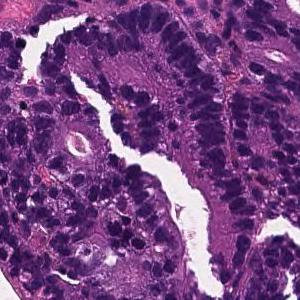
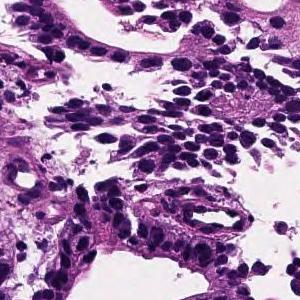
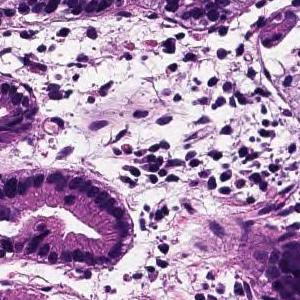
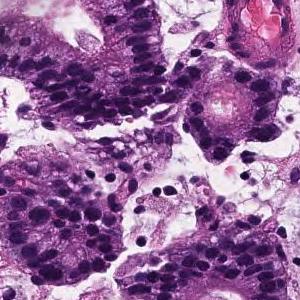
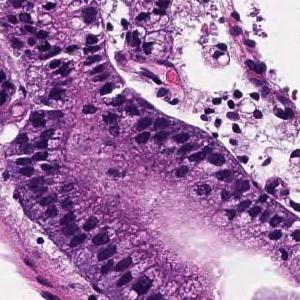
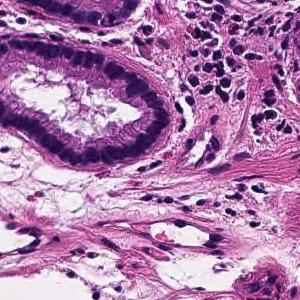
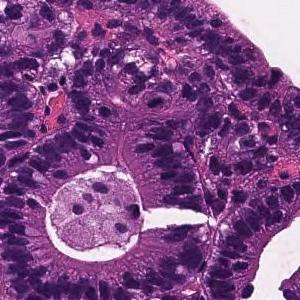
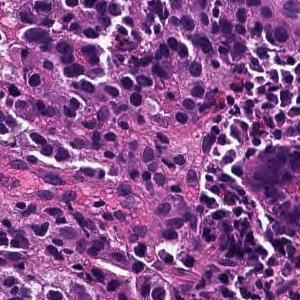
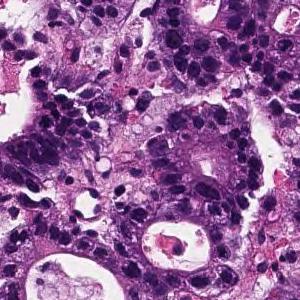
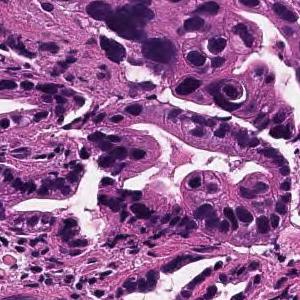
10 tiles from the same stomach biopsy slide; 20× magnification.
Report on the slide these tiles come from. The findings and the diagnosis refer to the entire slide; these tiles show only part of it, possibly with non-tumor tissue, and may not show every feature named.
From the superficial epithelium to the muscularis mucosae, tumor tissue consisting of medium-sized and irregular glandular ducts infiltrating is observed. Well differentiated tubular adenocarcinoma
